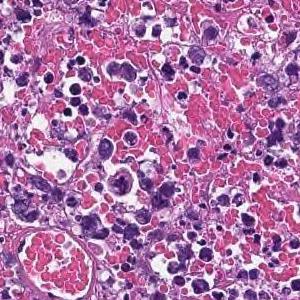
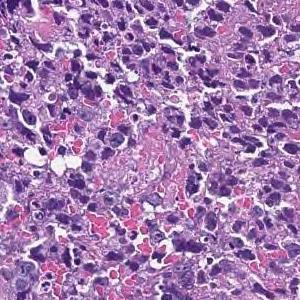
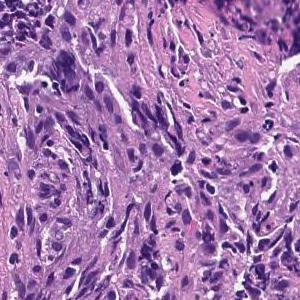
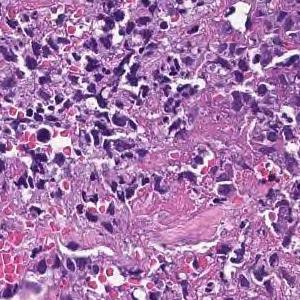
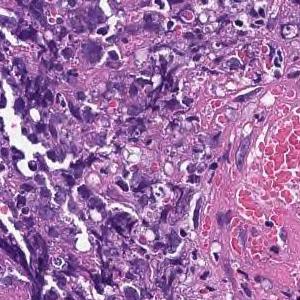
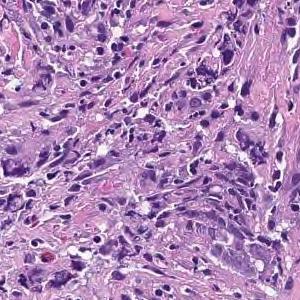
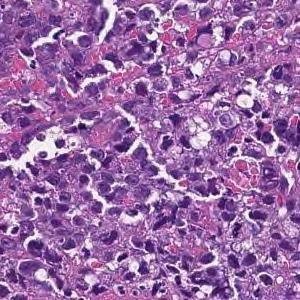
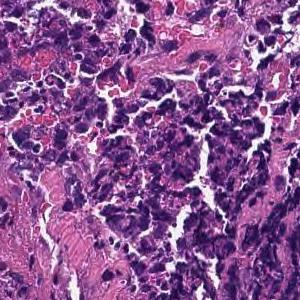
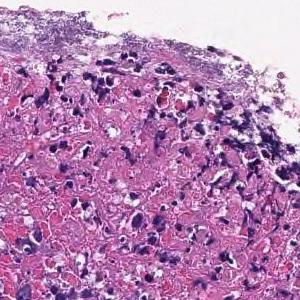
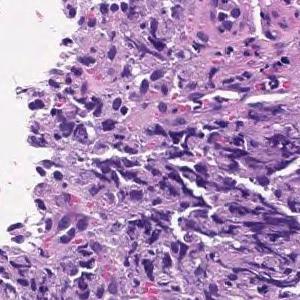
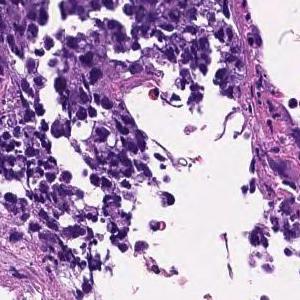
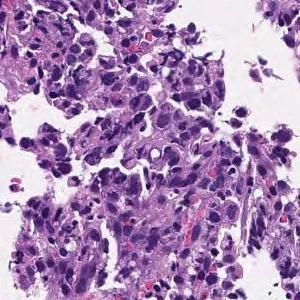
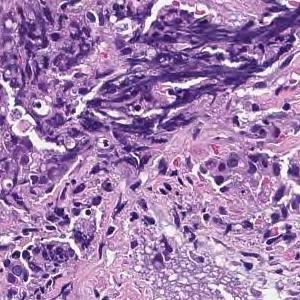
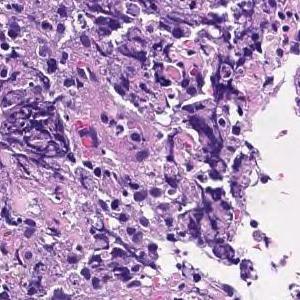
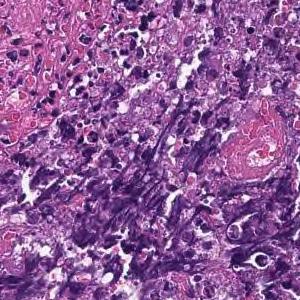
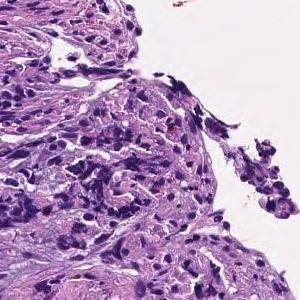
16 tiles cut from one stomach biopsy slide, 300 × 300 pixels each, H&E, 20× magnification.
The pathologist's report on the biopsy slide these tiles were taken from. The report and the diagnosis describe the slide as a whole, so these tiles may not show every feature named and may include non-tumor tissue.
Most are composed of coagulative necrotic tissue, but some show a large sheet-like shape, and some show tumor tissue infiltrating with a small cord-like structure. Poorly differentiated adenocarcinoma, solid-type
Histologic type: Poorly differentiated adenocarcinoma, solid type. This name comes from the Japanese Classification of Gastric Carcinoma; the WHO 2019 classification calls it tubular adenocarcinoma, poorly differentiated.
